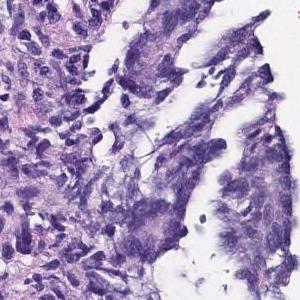
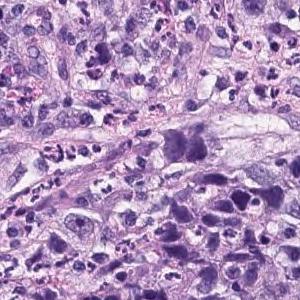
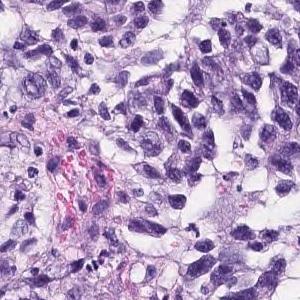
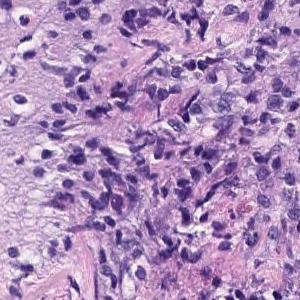
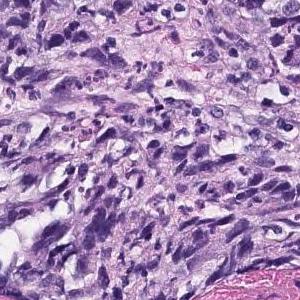
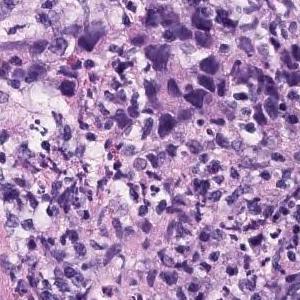
6 patches cut from one gastric biopsy slide.
The pathologist's report on the biopsy slide these tiles were taken from. The report and the diagnosis describe the slide as a whole, so these tiles may not show every feature named and may include non-tumor tissue.
The superficial epithelium shows a large sheet-like shape, and some tumor tissue infiltrates with small irregular ducts. Poorly differentiated adenocarcinoma, solid-type
Histologic type: Poorly differentiated adenocarcinoma, solid type (Japanese Classification of Gastric Carcinoma). The WHO 2019 equivalent is tubular adenocarcinoma, poorly differentiated.
